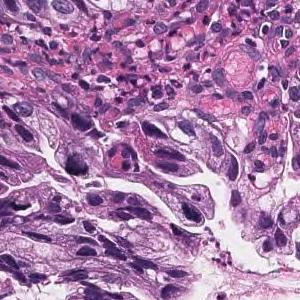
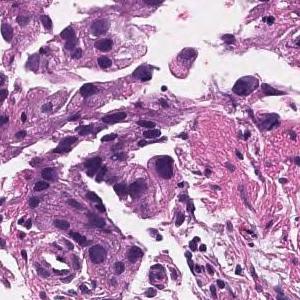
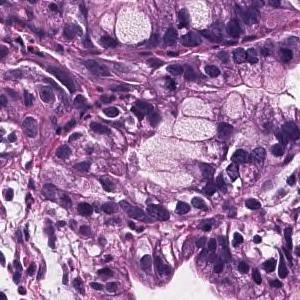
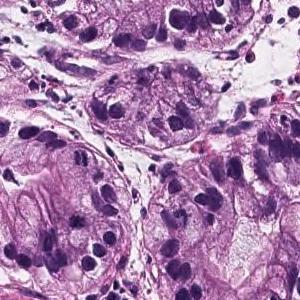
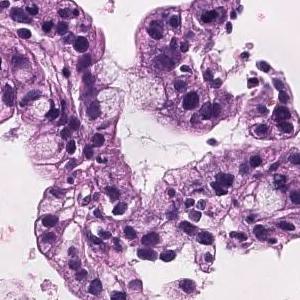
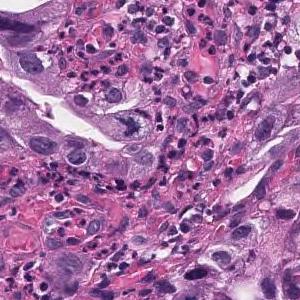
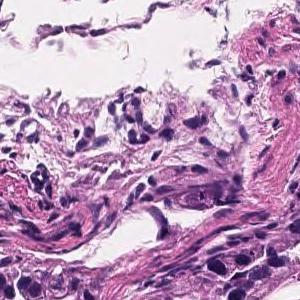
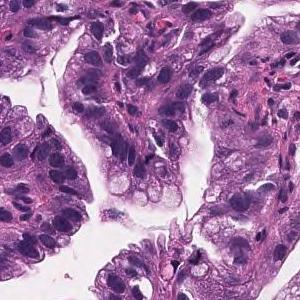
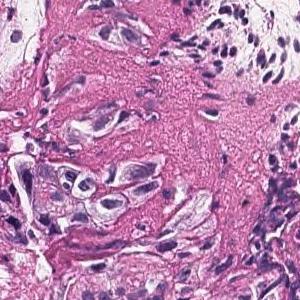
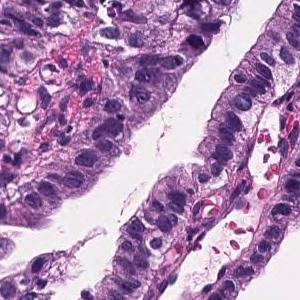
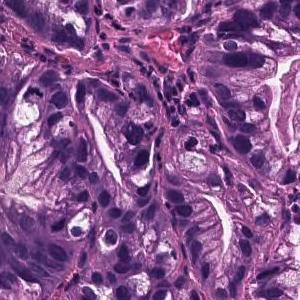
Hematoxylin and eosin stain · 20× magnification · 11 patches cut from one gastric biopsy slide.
Pathology report for the biopsy slide these tiles were cut from. What the report and the diagnosis say applies to the whole slide; these tiles may miss some of the features named and may include tissue that is not tumor.
Tumor cells are large, highly columnar, large club-shaped nuclei, and are associated with chromatin aggregation. Papillary adenocarcinoma.
